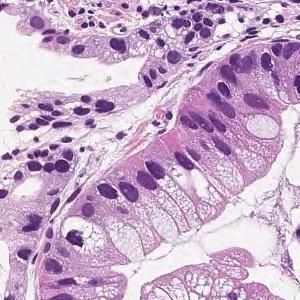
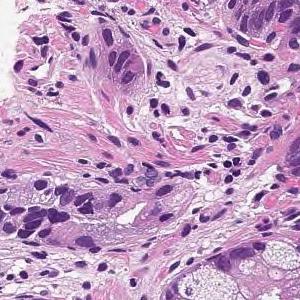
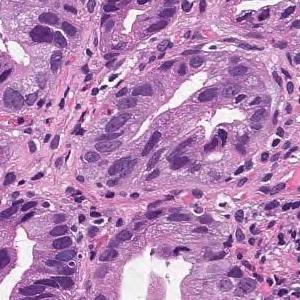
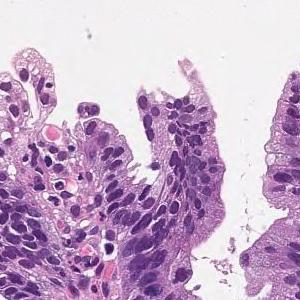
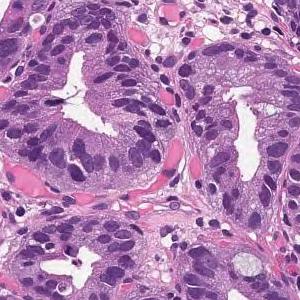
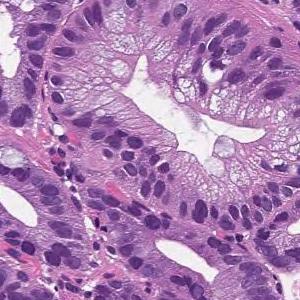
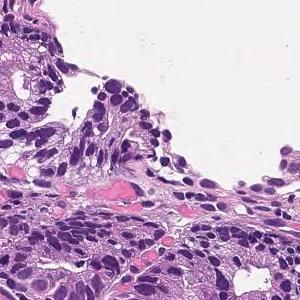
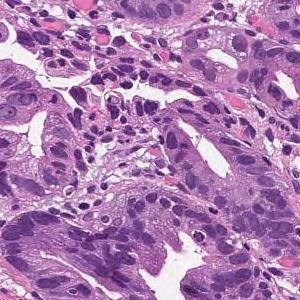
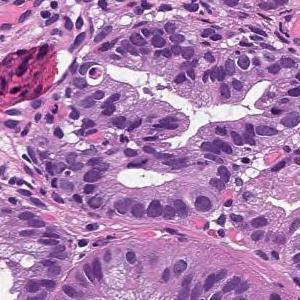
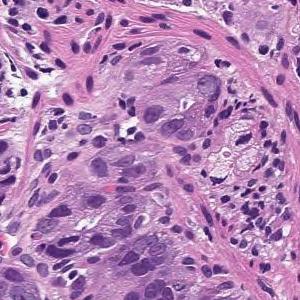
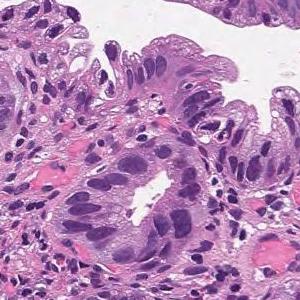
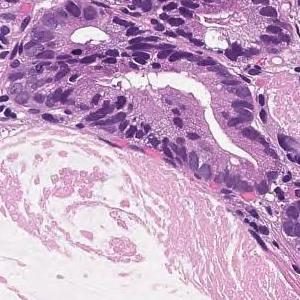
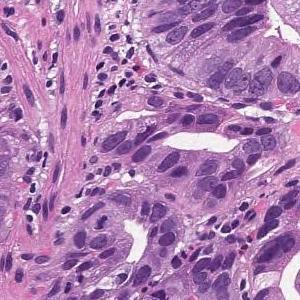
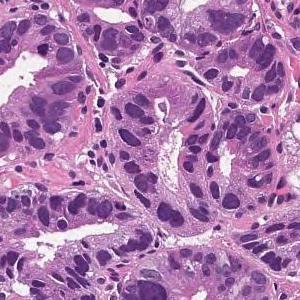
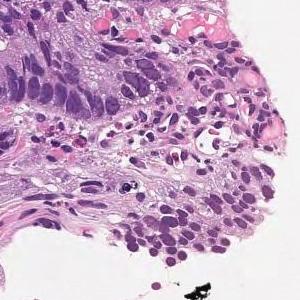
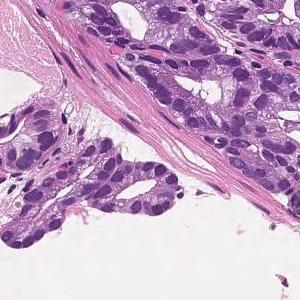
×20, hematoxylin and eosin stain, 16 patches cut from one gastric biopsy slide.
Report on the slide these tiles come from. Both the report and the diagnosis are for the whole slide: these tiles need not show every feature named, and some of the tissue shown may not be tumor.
On the superficial epithelium, tumor tissue consisting of large irregular glandular ducts partially fused and infiltrated is observed. Well to moderately differentiated tubular adenocarcinoma (well differentiated tubular adenocarcinoma, moderately differentiated tubular adenocarcinoma)
Subtype: Well to moderately differentiated tubular adenocarcinoma.
